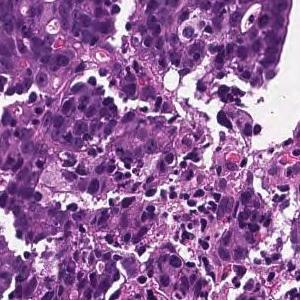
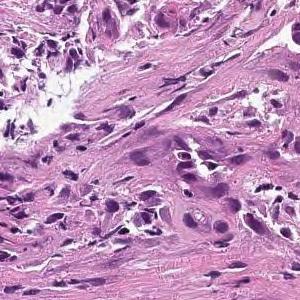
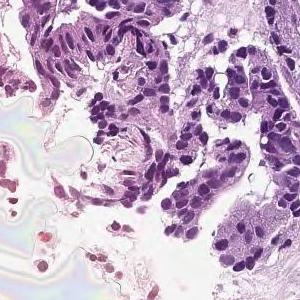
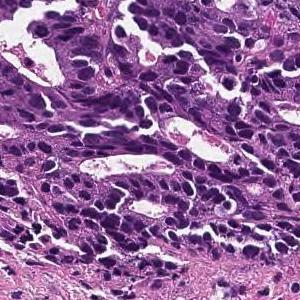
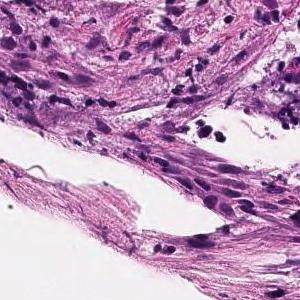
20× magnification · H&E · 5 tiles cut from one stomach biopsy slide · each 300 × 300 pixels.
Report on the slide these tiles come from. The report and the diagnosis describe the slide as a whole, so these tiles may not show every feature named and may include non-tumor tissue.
In the superficial epithelium, tumor tissue that invades by forming medium-sized to small, irregular ducts is observed. moderately differentiated tubular adenocarcinoma.
